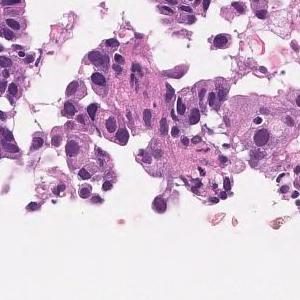
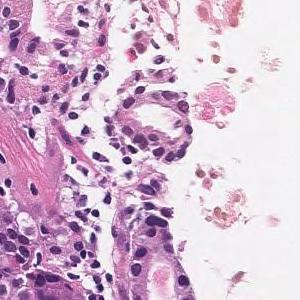
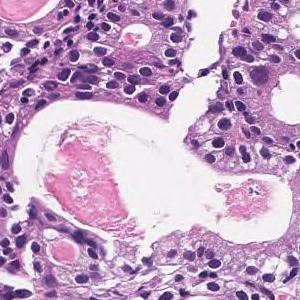
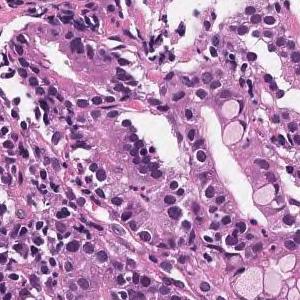
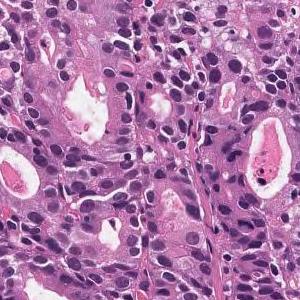
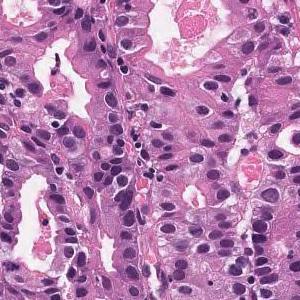
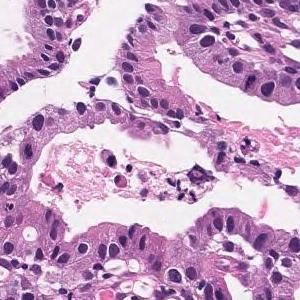
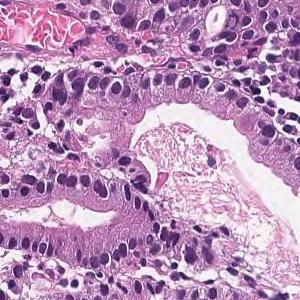
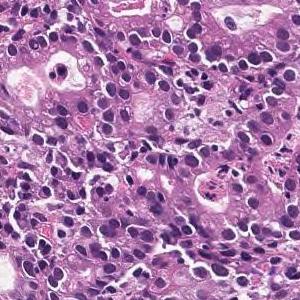
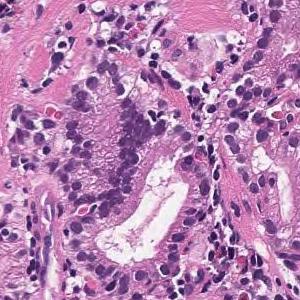
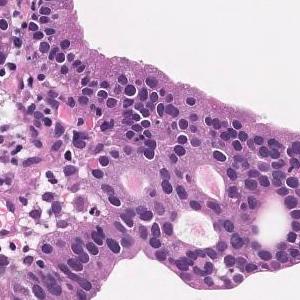
11 patches cut from one gastric biopsy slide; scanned at ×20.
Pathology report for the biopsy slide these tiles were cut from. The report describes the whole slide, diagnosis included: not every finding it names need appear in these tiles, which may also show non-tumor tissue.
Medium to small, irregular glandular ducts are formed in the superficial epithelium, and in some cases, the glandular ducts are fused to show solid alveolar lesions and infiltrating tumor tissue is observed. Moderately to poorly differentiated adenocarcinoma.
